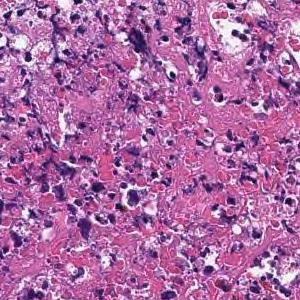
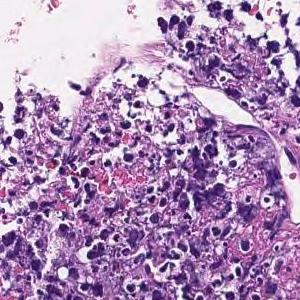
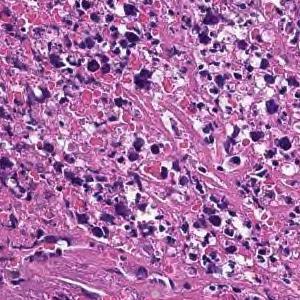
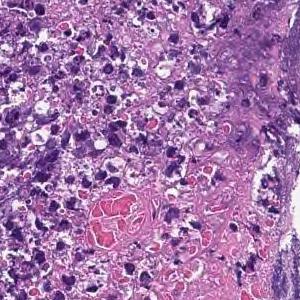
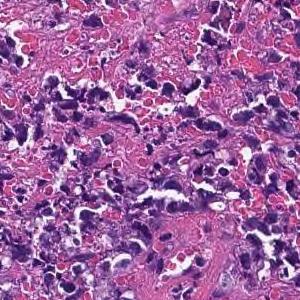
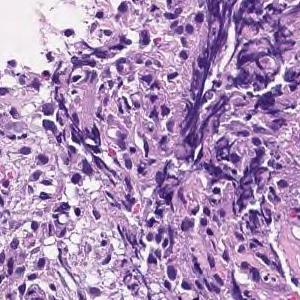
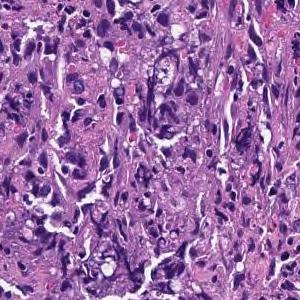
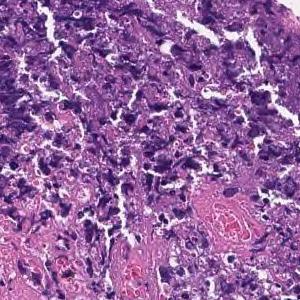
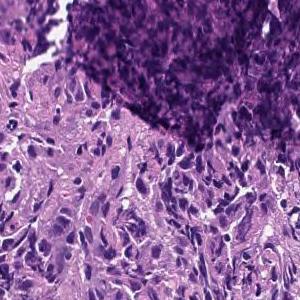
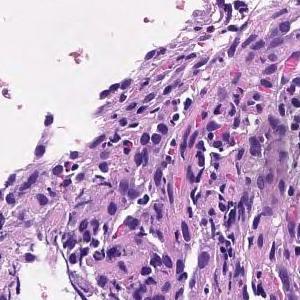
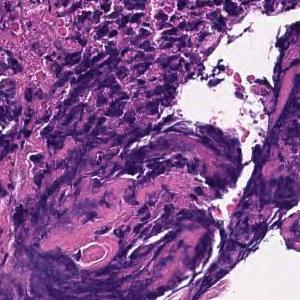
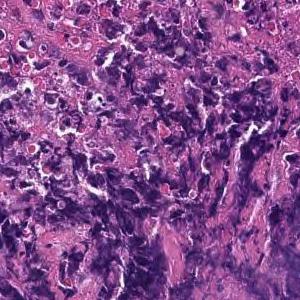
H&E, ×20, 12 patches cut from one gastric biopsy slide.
Pathology report for the biopsy slide these tiles were cut from. The report and the diagnosis cover the entire slide, so not every feature they name need be visible here, and some tissue shown may not be tumor.
Most are composed of coagulative necrotic tissue, but some show a large sheet-like shape, and some show tumor tissue infiltrating with a small cord-like structure. Poorly differentiated adenocarcinoma, solid-type
Histological subtype: Poorly differentiated adenocarcinoma, solid type, a category of the Japanese Classification of Gastric Carcinoma; in the WHO 2019 classification it is tubular adenocarcinoma, poorly differentiated.
